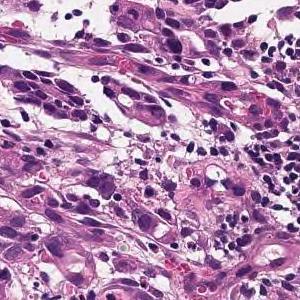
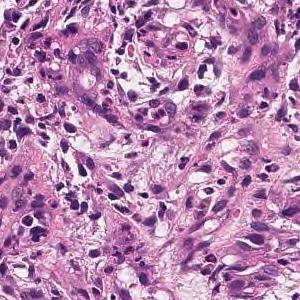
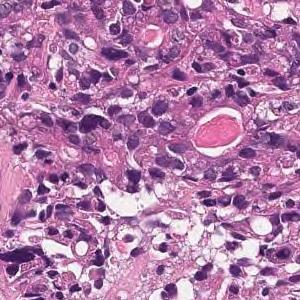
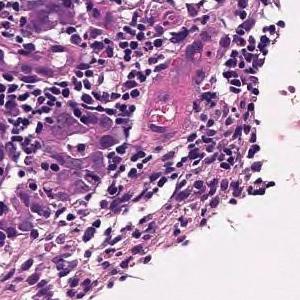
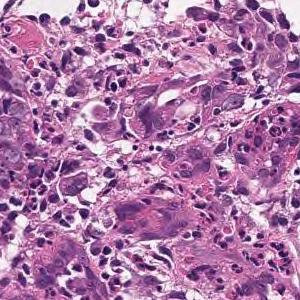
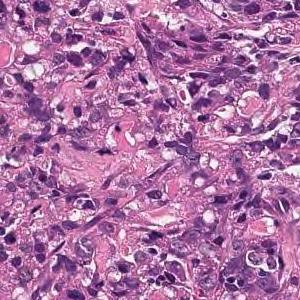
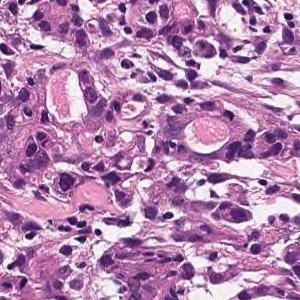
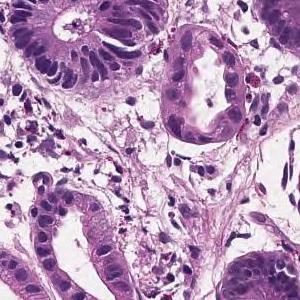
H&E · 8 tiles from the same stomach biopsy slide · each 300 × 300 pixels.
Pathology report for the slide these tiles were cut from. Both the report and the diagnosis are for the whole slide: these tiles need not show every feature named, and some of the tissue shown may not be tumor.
Tumor tissue consisting of cord-like or small, irregular glandular ducts fused and infiltrated is observed in the superficial epithelium. Poorly differentiated adenocarcinoma, non-solid type
The term "non-solid type" comes from the Japanese Classification of Gastric Carcinoma.
